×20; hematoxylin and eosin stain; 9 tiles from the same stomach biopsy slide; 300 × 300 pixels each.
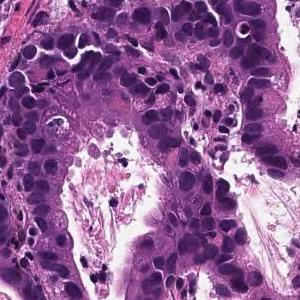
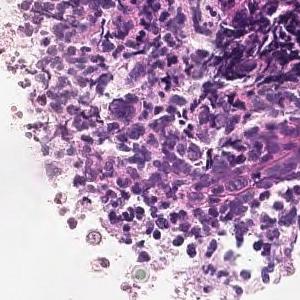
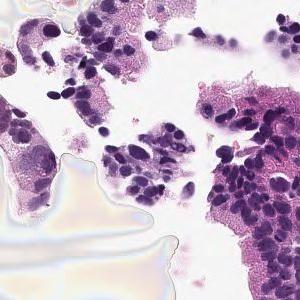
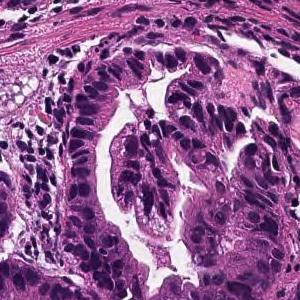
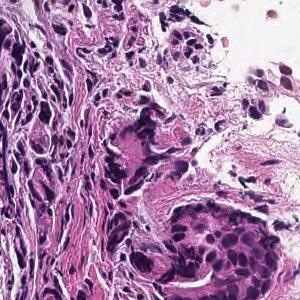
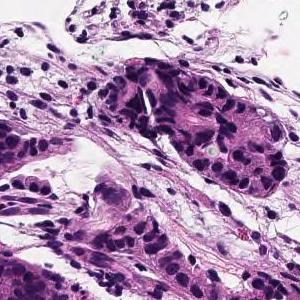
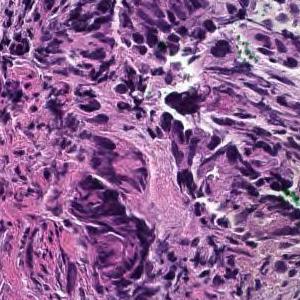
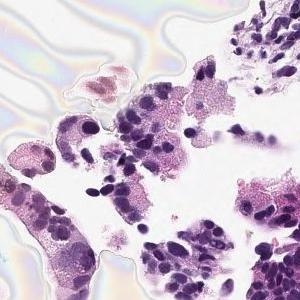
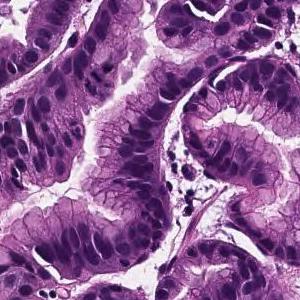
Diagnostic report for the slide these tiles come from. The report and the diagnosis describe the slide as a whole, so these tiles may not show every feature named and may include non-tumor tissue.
Tumor cells are large, highly columnar, large club-shaped nuclei, and are associated with chromatin aggregation. Papillary adenocarcinoma.
